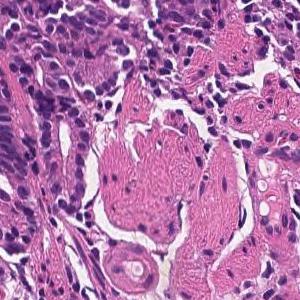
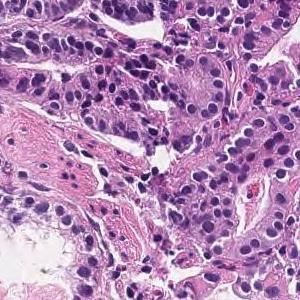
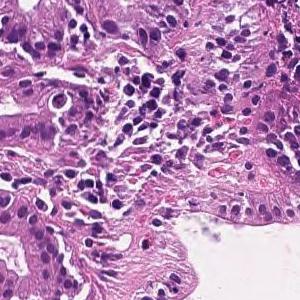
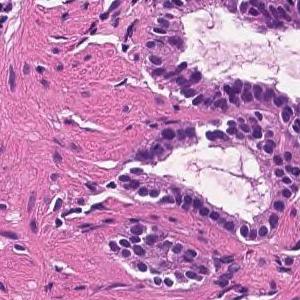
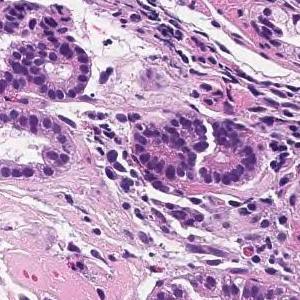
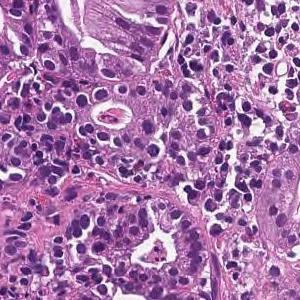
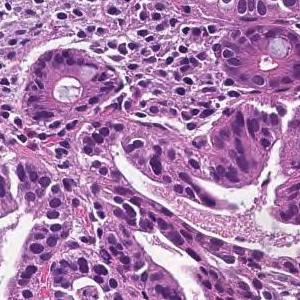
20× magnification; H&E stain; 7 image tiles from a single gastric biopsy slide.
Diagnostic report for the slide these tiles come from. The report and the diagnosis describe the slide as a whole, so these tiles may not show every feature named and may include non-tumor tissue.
On the superficial epithelium, tumor tissue that infiltrates by forming medium-sized papillary or small irregular ducts is observed. Papillary adenocarcinoma (Papillary adenocarcinoma)
Subtype: Papillary adenocarcinoma.
